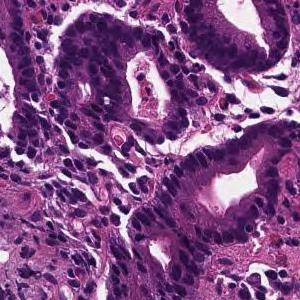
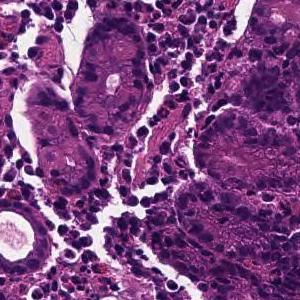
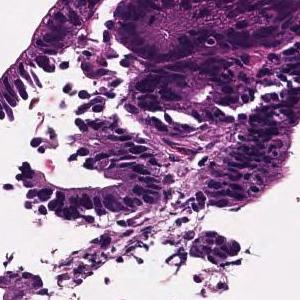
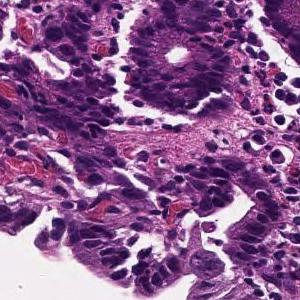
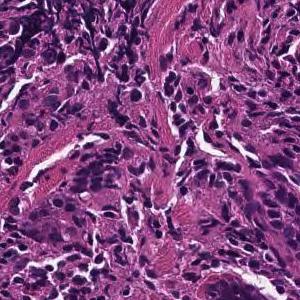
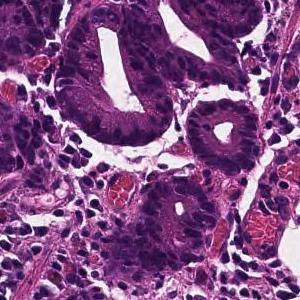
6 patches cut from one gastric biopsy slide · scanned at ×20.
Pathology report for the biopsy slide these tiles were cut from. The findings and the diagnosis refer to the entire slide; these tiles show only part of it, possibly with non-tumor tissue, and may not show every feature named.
From the superficial epithelium to the muscularis mucosae, tumor tissue consisting of medium-sized and irregular glandular ducts infiltrating is observed. Well differentiated tubular adenocarcinoma
